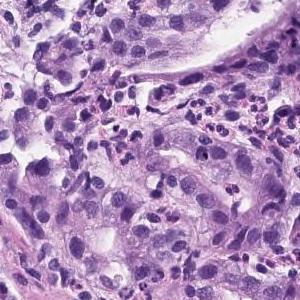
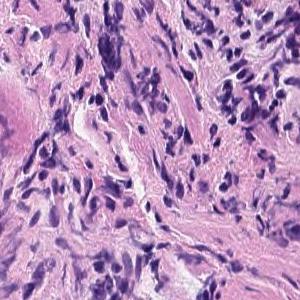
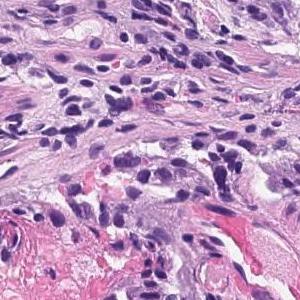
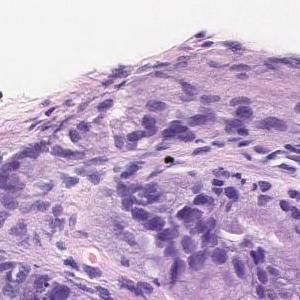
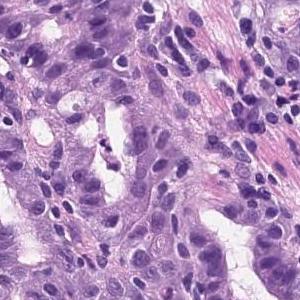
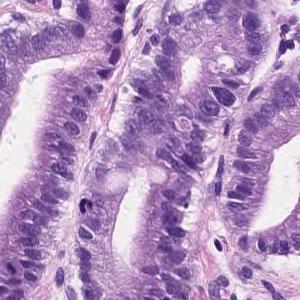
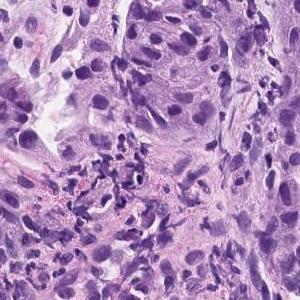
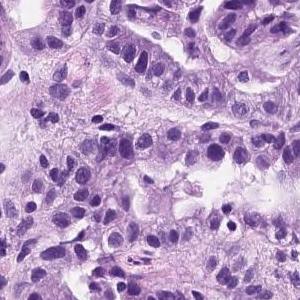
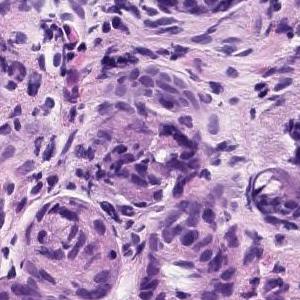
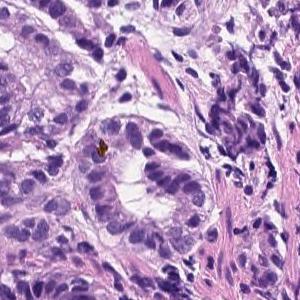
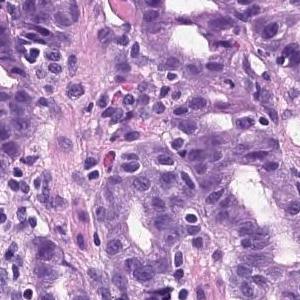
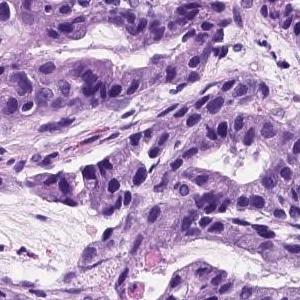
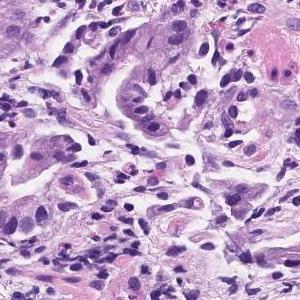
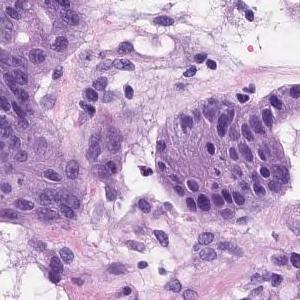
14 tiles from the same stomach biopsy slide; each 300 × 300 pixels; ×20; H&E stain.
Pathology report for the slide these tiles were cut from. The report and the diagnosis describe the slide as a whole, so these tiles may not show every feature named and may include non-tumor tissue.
Tumor tissue consisting of medium-sized and irregular ducts is observed infiltrating in the superficial epithelium. Tumor cells are highly columnar, with nuclei aligned basolaterally and polarized. Well differentiated tubular adenocarcinoma.
